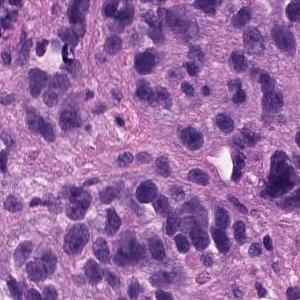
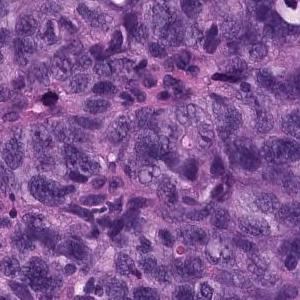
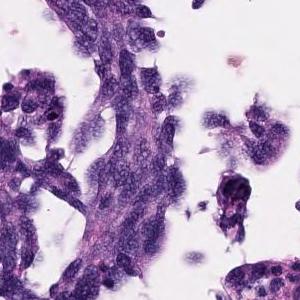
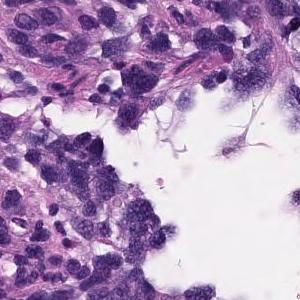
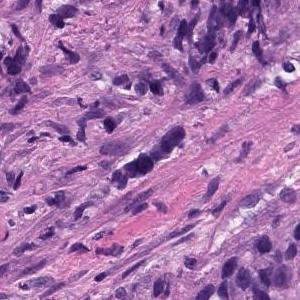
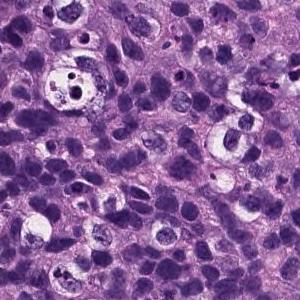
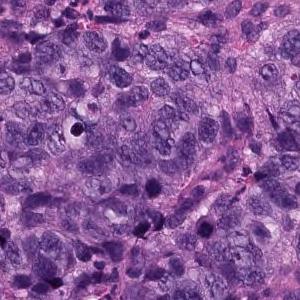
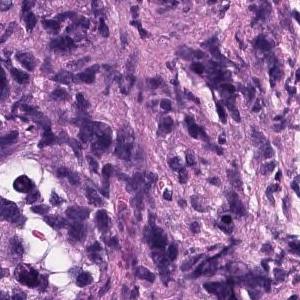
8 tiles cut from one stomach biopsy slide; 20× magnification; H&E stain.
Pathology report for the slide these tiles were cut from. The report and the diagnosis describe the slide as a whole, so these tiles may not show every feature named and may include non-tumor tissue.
Atypical l cells with atypical nuclei under the mucosa growing in isolation and scattered. Poorly differentiated adenocarcinoma (poorly differentiated adenocarcinoma, non-solid type)
Histologic type: Poorly differentiated adenocarcinoma, non-solid type.
The non-solid type named here is a Japanese Classification of Gastric Carcinoma category.
